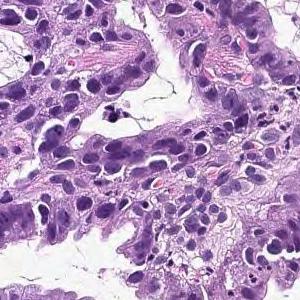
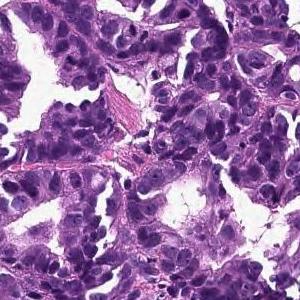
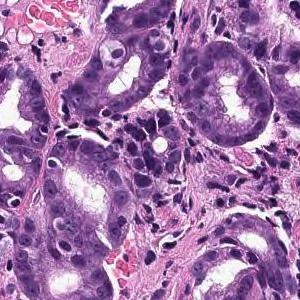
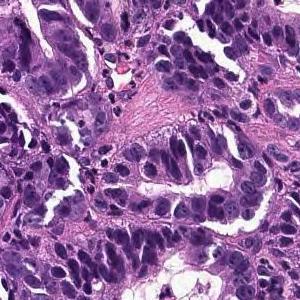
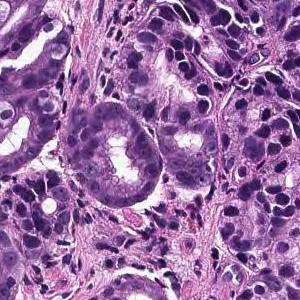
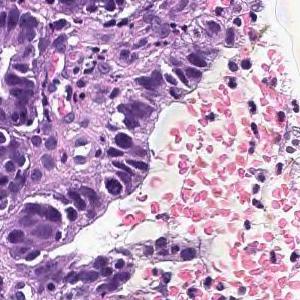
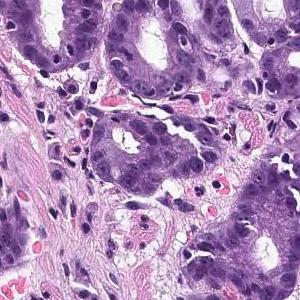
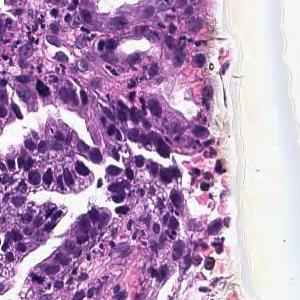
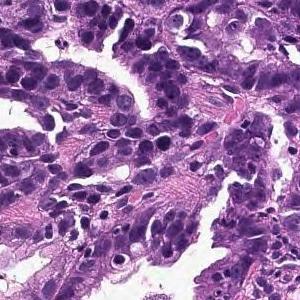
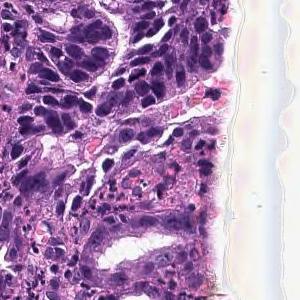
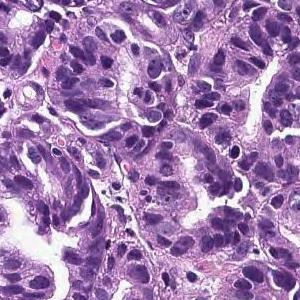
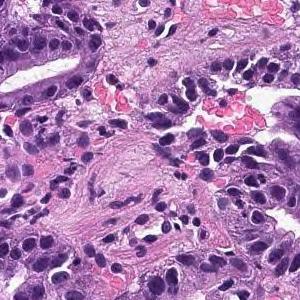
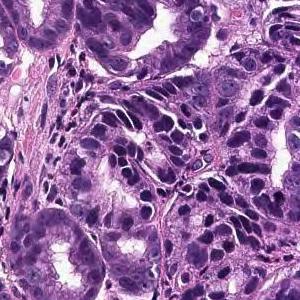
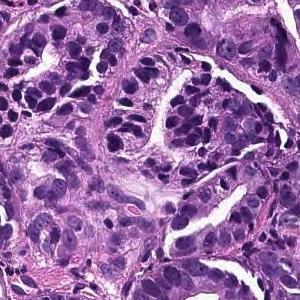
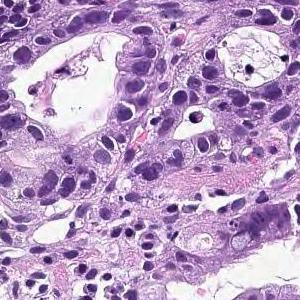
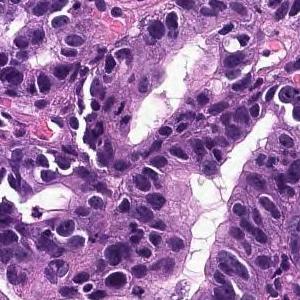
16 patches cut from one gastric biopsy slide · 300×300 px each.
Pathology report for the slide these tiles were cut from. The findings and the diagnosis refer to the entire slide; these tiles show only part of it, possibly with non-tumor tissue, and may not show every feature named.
On the superficial epithelium, tumor tissue that infiltrates by forming medium-sized papillary or small irregular ducts is observed. Papillary adenocarcinoma
